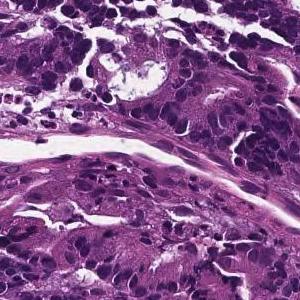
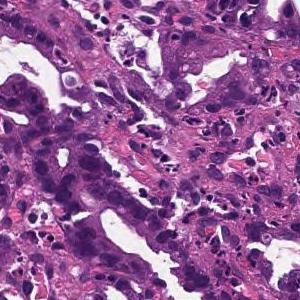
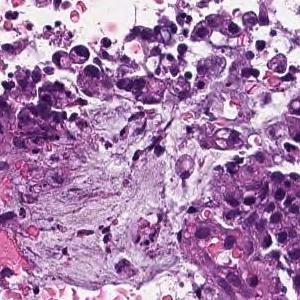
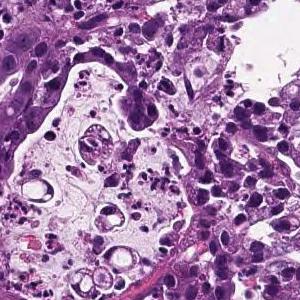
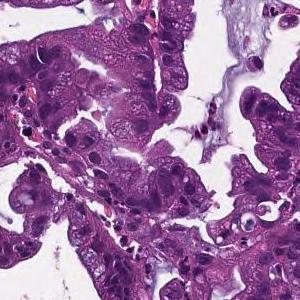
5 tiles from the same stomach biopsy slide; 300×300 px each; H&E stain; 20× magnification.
Pathology report for the biopsy slide these tiles were cut from. What the report and the diagnosis say applies to the whole slide; these tiles may miss some of the features named and may include tissue that is not tumor.
On the superficial epithelium, tumor tissue consisting of large irregular glandular ducts partially fused and infiltrated is observed. Well to moderately differentiated tubular adenocarcinoma (well differentiated tubular adenocarcinoma, moderately differentiated tubular adenocarcinoma)
Subtype: Well to moderately differentiated tubular adenocarcinoma.
